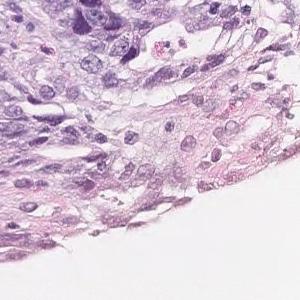
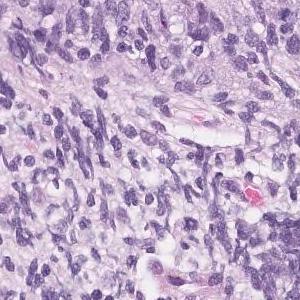
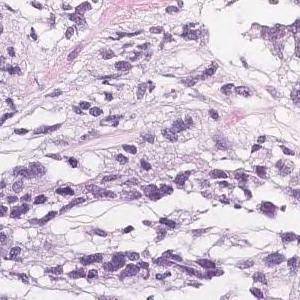
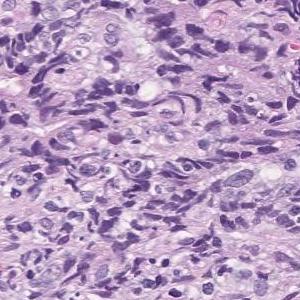
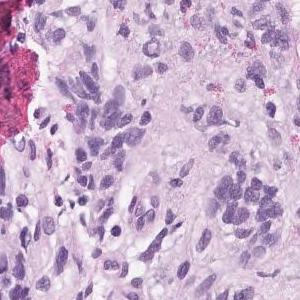
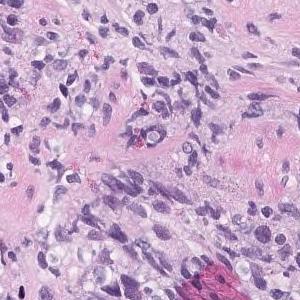
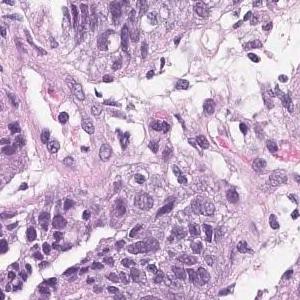
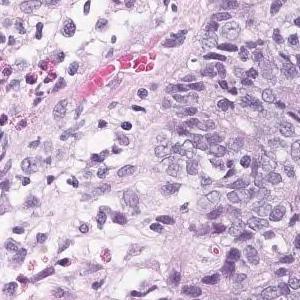
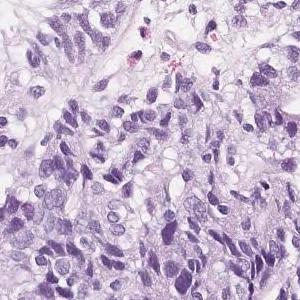
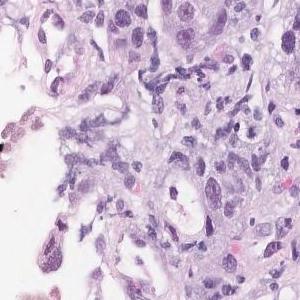
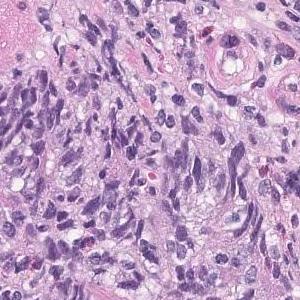
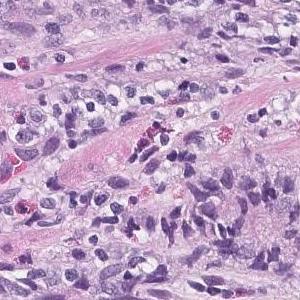
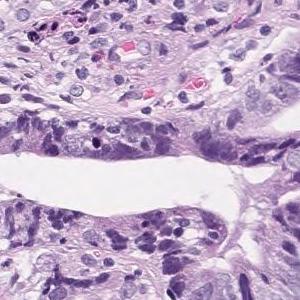
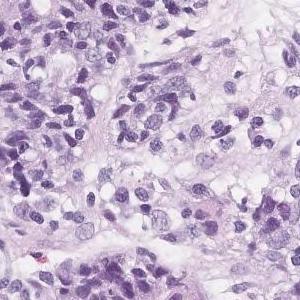
14 patches cut from one gastric biopsy slide, each 300 × 300 pixels, hematoxylin and eosin stain.
Pathology report for the slide these tiles were cut from. The report and the diagnosis cover the entire slide, so not every feature they name need be visible here, and some tissue shown may not be tumor.
Highly columnar epithelium with disordered nuclear localization proliferates showing fusion ductal construction. moderately differentiated tubular adenocarcinoma
